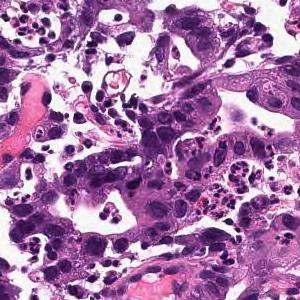
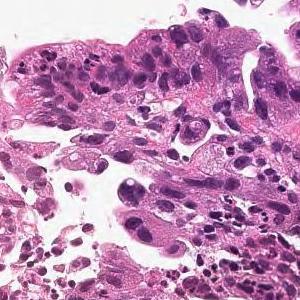
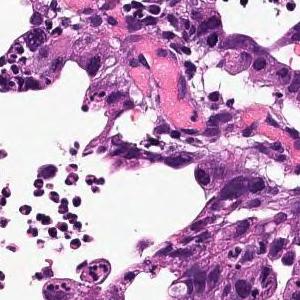
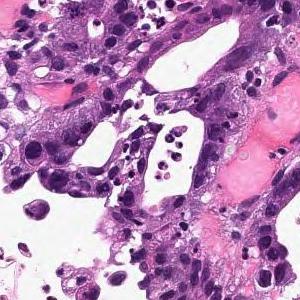
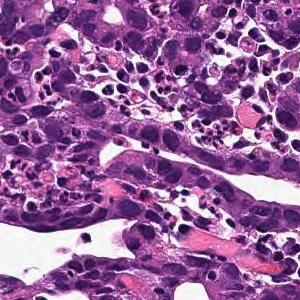
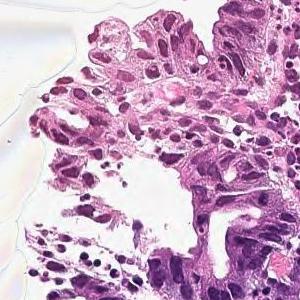
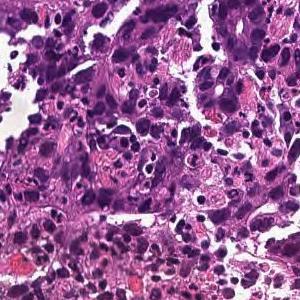
H&E; 7 tiles cut from one stomach biopsy slide; 300×300 px each.
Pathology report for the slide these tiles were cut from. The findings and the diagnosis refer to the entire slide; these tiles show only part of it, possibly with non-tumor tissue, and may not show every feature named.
On the superficial epithelium, a tumor tissue consisting of a large, irregular glandular duct partially fused and infiltrating with a small alveolar shape is observed. Well or moderately differentiated tubular adenocarcinoma (well differentiated tubular adenocarcinoma, moderately differentiated tubular adenocarcinoma)
Classified as well to moderately differentiated tubular adenocarcinoma.
